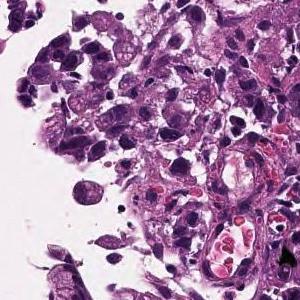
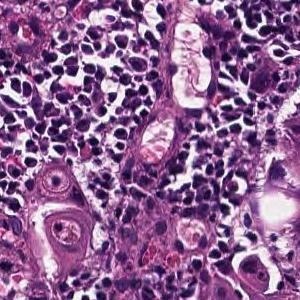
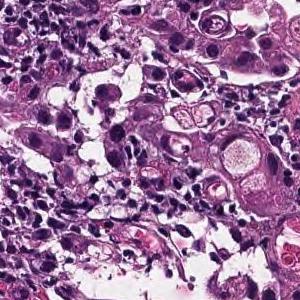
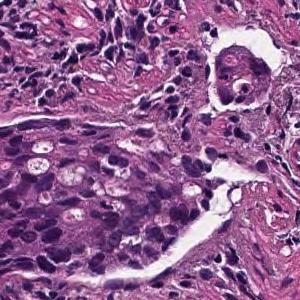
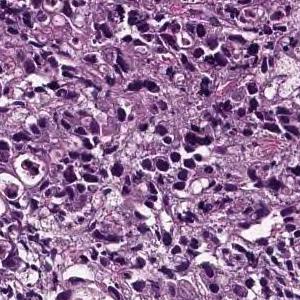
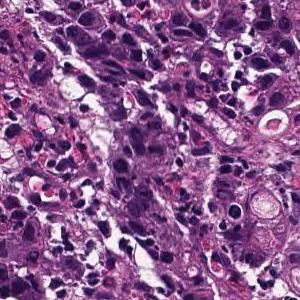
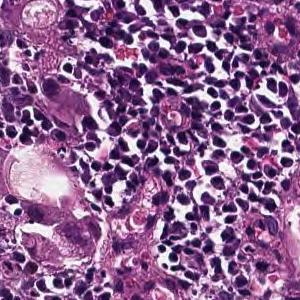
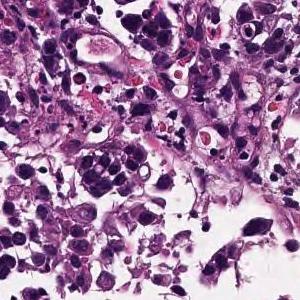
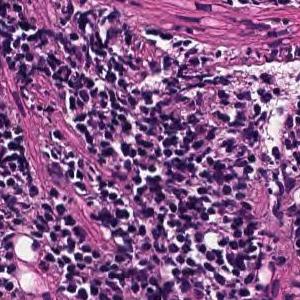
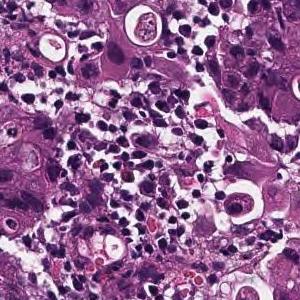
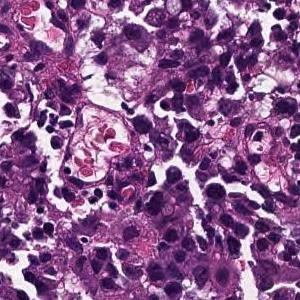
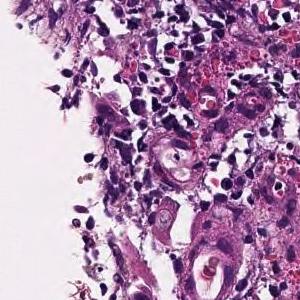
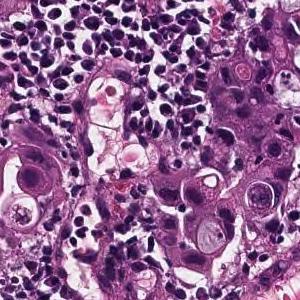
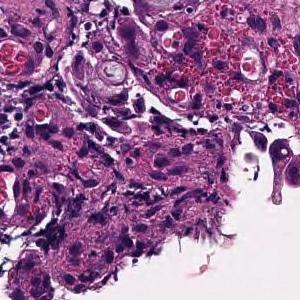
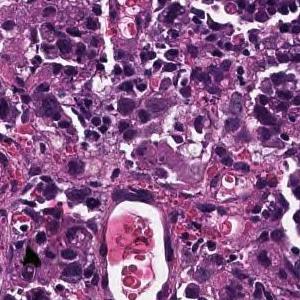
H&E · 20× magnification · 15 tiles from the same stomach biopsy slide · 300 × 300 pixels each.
The pathologist's report on the biopsy slide these tiles were taken from. The report and the diagnosis cover the entire slide, so not every feature they name need be visible here, and some tissue shown may not be tumor.
The superficial epithelium shows a large sheet-like shape, and some tumor tissue infiltrates with small irregular ducts. Poorly differentiated adenocarcinoma, solid-type
Classified as poorly differentiated adenocarcinoma, solid type. This name comes from the Japanese Classification of Gastric Carcinoma; the WHO 2019 classification calls it tubular adenocarcinoma, poorly differentiated.
